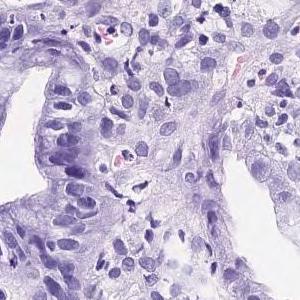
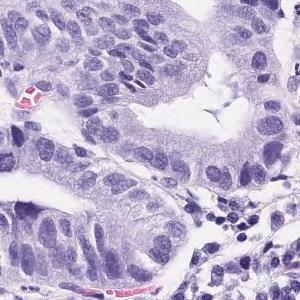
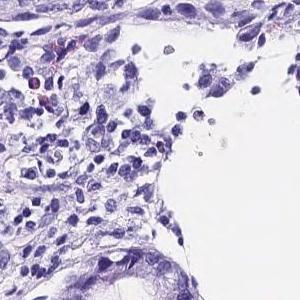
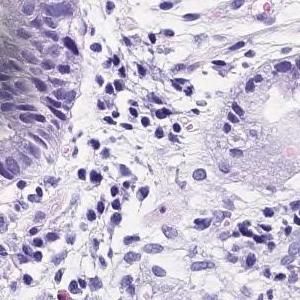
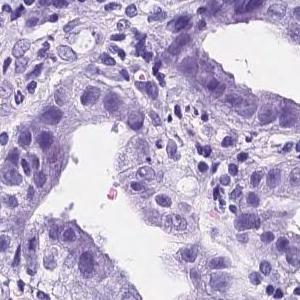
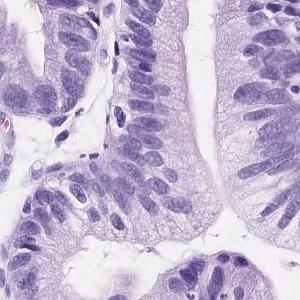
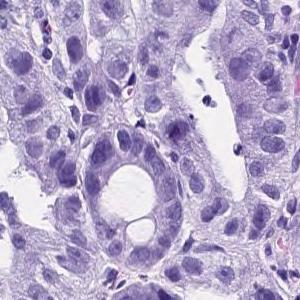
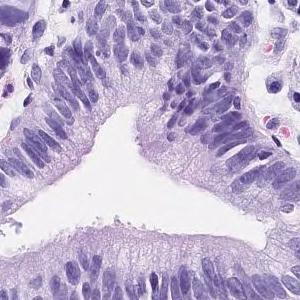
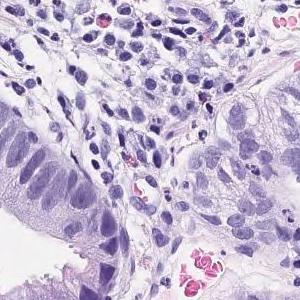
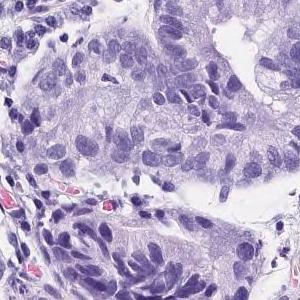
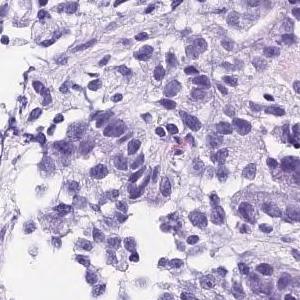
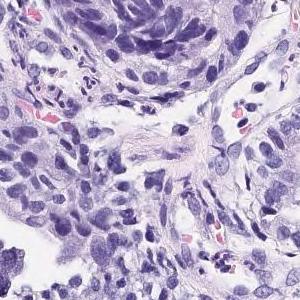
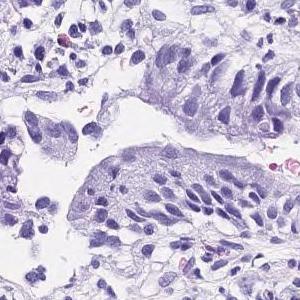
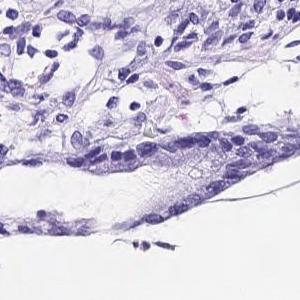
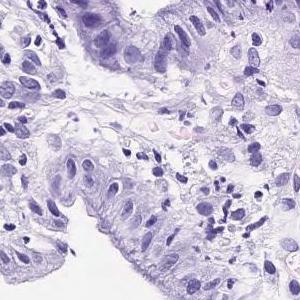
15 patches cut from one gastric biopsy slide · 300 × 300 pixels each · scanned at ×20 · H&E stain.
Diagnostic report for the slide these tiles come from. The report describes the whole slide, diagnosis included: not every finding it names need appear in these tiles, which may also show non-tumor tissue.
Tumor tissue consisting of medium-sized and irregular ducts is observed infiltrating in the superficial epithelium. Tumor cells are highly columnar, with nuclei aligned basolaterally and polarized. Well differentiated tubular adenocarcinoma.
